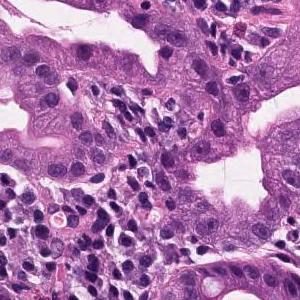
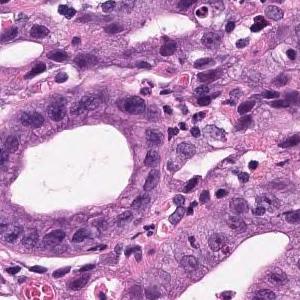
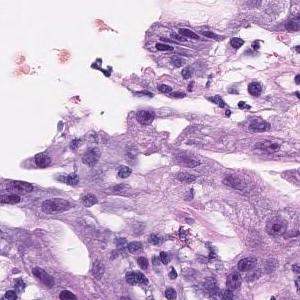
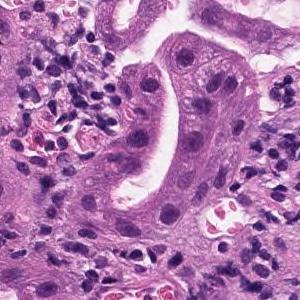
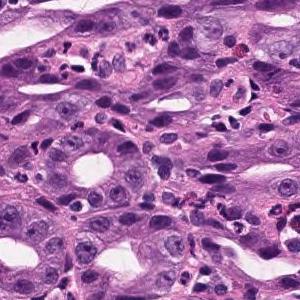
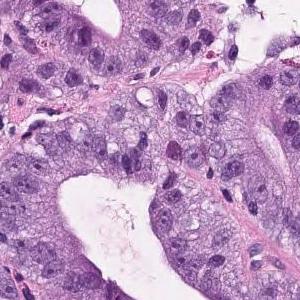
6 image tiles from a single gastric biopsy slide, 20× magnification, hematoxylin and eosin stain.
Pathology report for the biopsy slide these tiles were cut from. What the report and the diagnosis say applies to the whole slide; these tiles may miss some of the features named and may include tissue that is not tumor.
In the superficial epithelium, tumor tissue that invades by forming medium-sized to small, irregular ducts is observed. Well to moderately differentiated adenocarcinoma (well differentiated tubular adenocarcinoma, moderately differentiated tubular adenocarcinoma).
Subtype: Well to moderately differentiated tubular adenocarcinoma.
